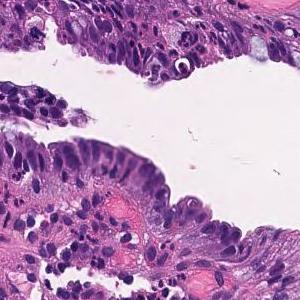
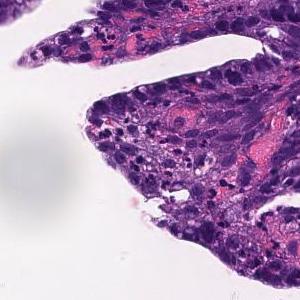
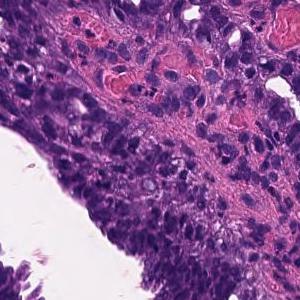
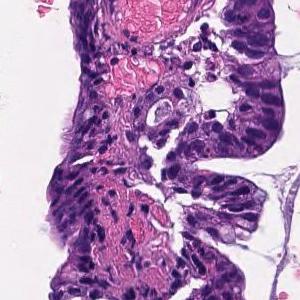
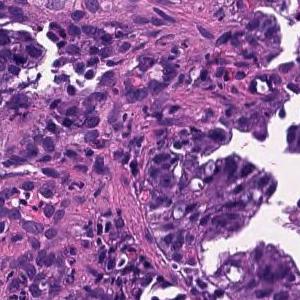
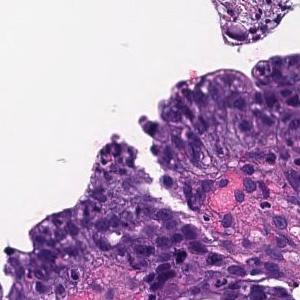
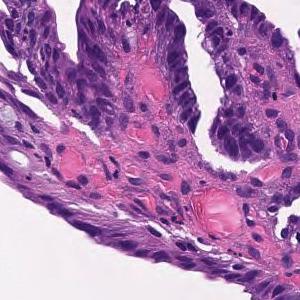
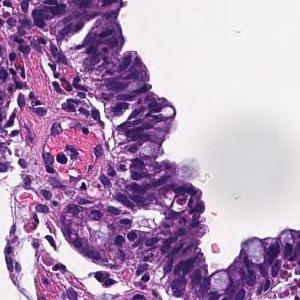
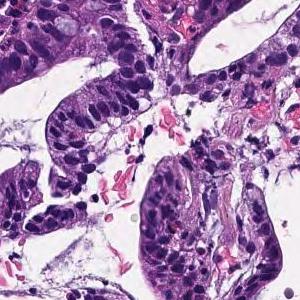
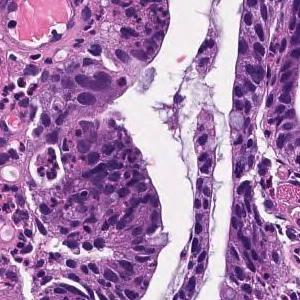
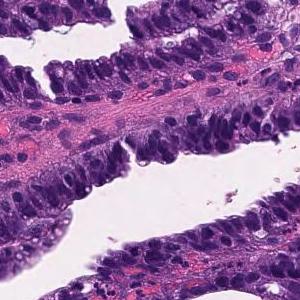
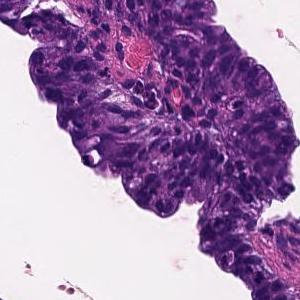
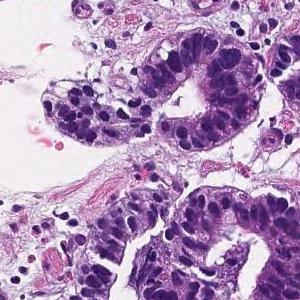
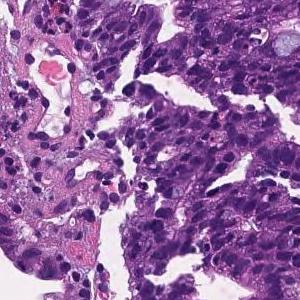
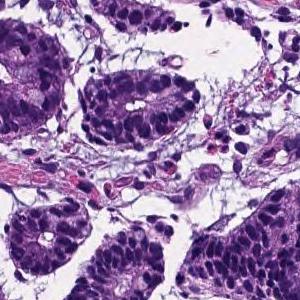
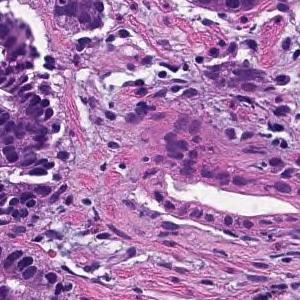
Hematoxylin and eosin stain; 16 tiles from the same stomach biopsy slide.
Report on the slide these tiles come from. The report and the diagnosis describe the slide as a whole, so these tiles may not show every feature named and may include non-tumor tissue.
Tumor cells are large, highly columnar, large club-shaped nuclei, and are associated with chromatin aggregation. Papillary adenocarcinoma.
